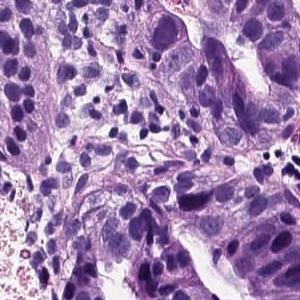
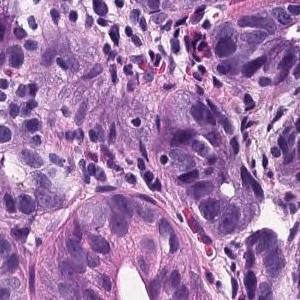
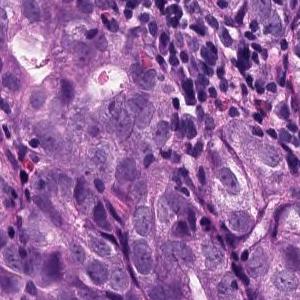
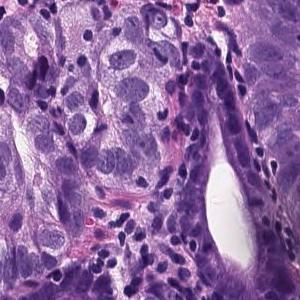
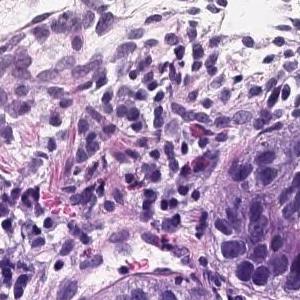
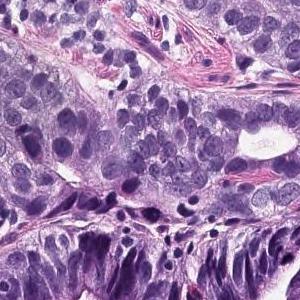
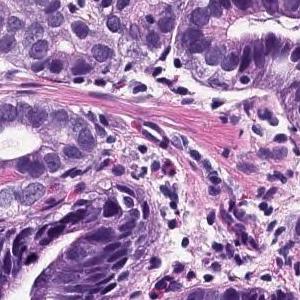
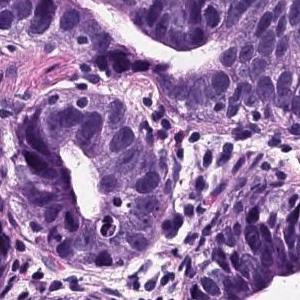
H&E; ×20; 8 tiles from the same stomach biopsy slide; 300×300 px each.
Report on the slide these tiles come from. The report describes the whole slide, diagnosis included: not every finding it names need appear in these tiles, which may also show non-tumor tissue.
Atypical epithelial cells infiltrating and proliferating while forming a glandular cavity is observed. moderately differentiated tubular adenocarcinoma
